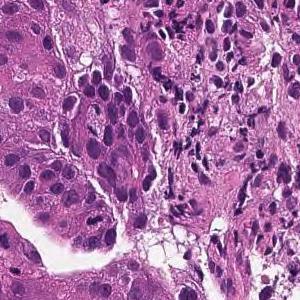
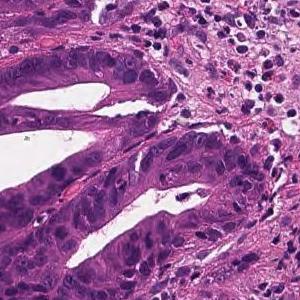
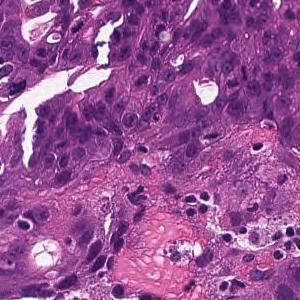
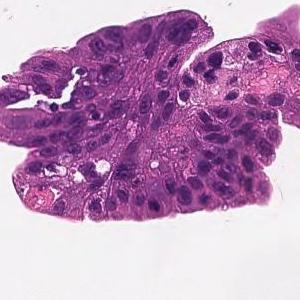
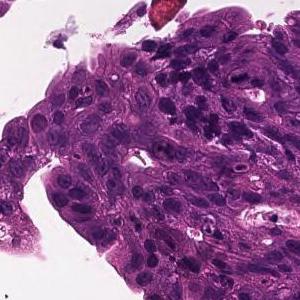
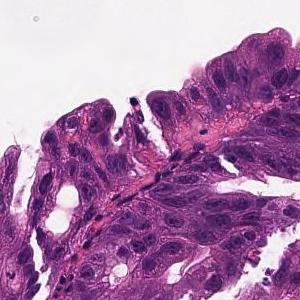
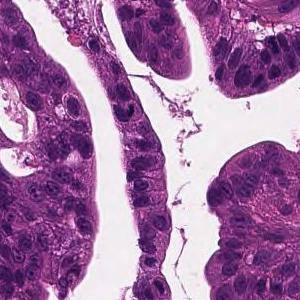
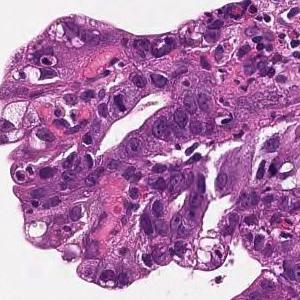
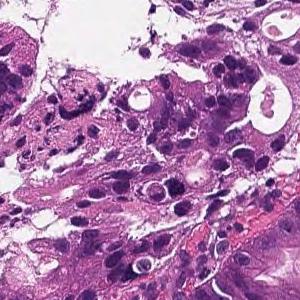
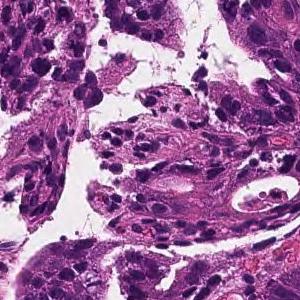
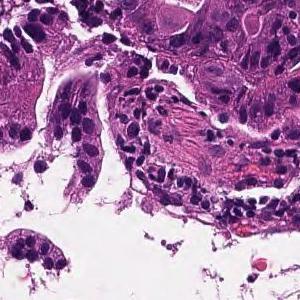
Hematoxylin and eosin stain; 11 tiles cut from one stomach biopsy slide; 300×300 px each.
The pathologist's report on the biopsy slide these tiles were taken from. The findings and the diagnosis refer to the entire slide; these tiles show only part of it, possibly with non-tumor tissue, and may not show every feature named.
On the superficial epithelium, tumor tissue is found in which medium-sized irregular gland ducts fuse with each other and infiltrate. moderately differentiated tubular adenocarcinoma
